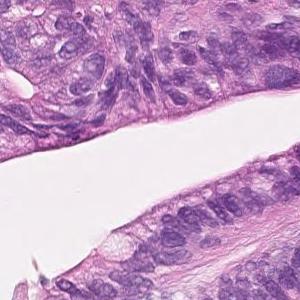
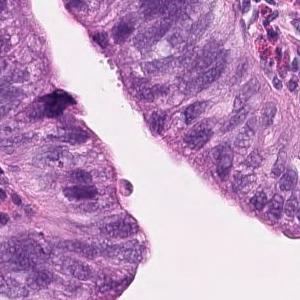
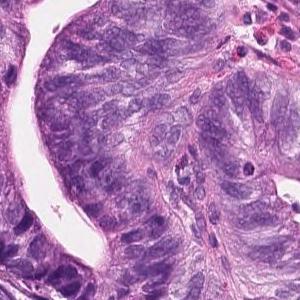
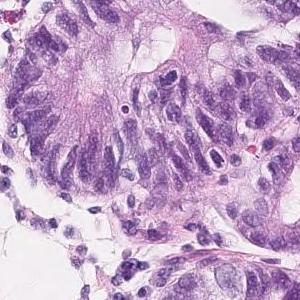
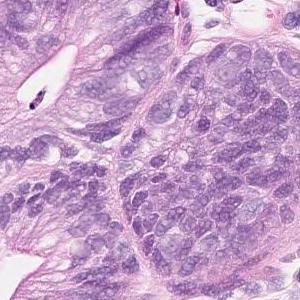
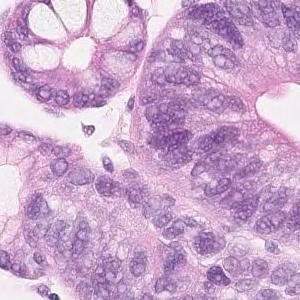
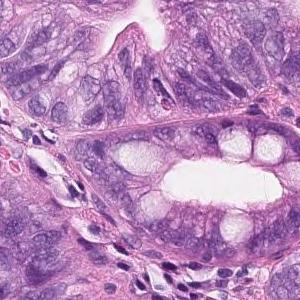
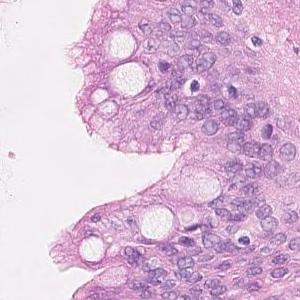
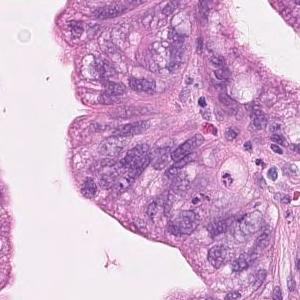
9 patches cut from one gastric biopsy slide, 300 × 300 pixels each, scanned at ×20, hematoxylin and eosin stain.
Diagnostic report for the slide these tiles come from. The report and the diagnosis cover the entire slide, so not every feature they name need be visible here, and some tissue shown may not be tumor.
With the background of intestinal metaplasia, hyperplasia of large atypical glandular ducts is observed, accompanied by macronucleus swelling, disorder of nuclear polarity, and fusion of glandular ducts. Well differentiated tubular adenocarcinoma
